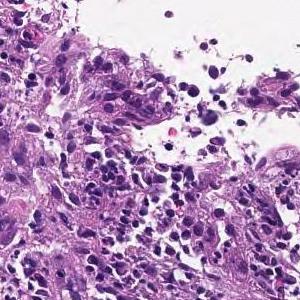
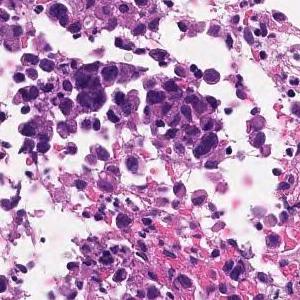
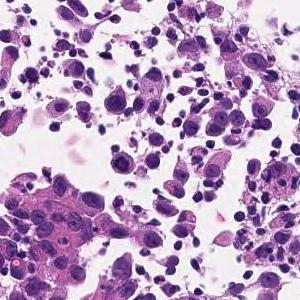
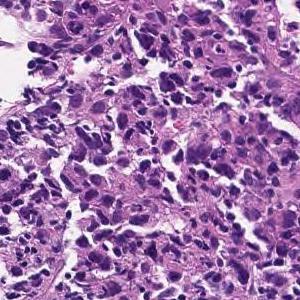
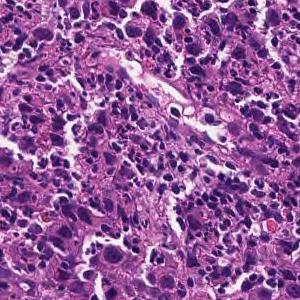
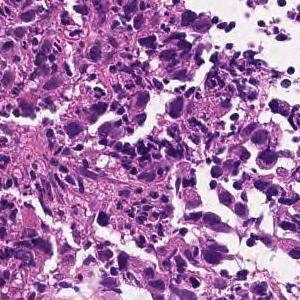
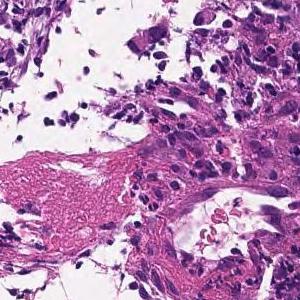
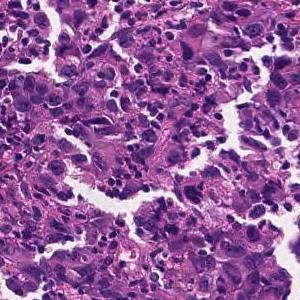
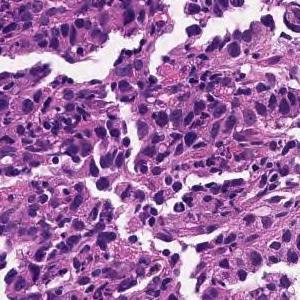
9 tiles cut from one stomach biopsy slide.
Pathology report for the biopsy slide these tiles were cut from. The report describes the whole slide, diagnosis included: not every finding it names need appear in these tiles, which may also show non-tumor tissue.
The superficial epithelium shows a large sheet-like shape, and some tumor tissue infiltrates with small irregular ducts. Poorly differentiated adenocarcinoma, solid-type (poorly differentiated adenocarcinoma, solid type)
Histological subtype: Poorly differentiated adenocarcinoma, solid type. This name comes from the Japanese Classification of Gastric Carcinoma; the WHO 2019 classification calls it tubular adenocarcinoma, poorly differentiated.
